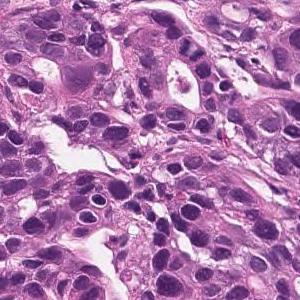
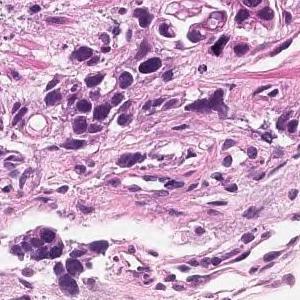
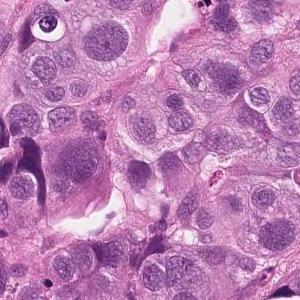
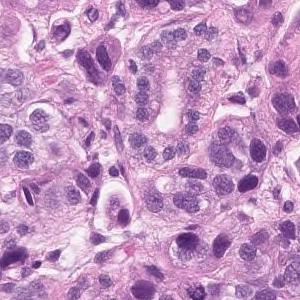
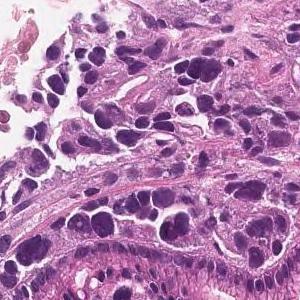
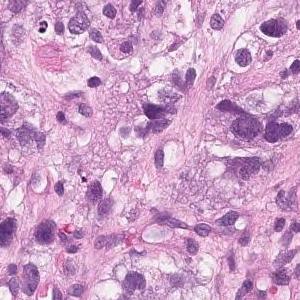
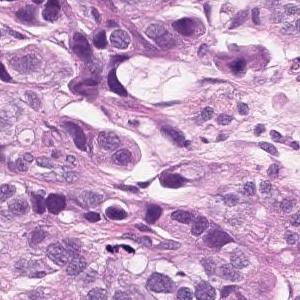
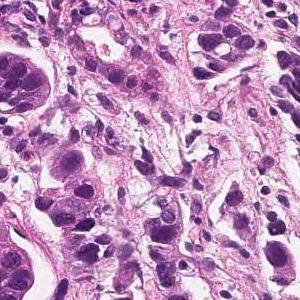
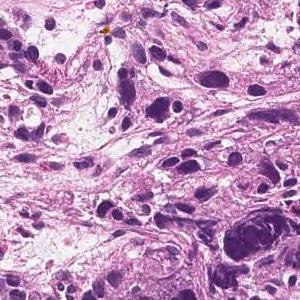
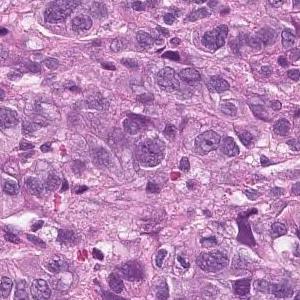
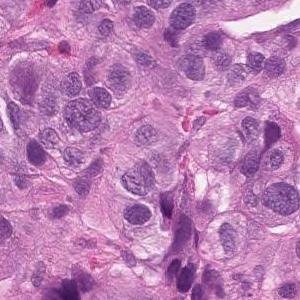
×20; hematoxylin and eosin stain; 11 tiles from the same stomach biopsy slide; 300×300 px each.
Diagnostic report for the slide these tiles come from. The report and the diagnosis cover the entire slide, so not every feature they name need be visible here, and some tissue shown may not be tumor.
Tumor tissue that infiltrates the epithelium in an alveolar manner. Poorly differentiated adenocarcinoma, solid-type
Histological subtype: Poorly differentiated adenocarcinoma, solid type (Japanese Classification of Gastric Carcinoma). The WHO 2019 equivalent is tubular adenocarcinoma, poorly differentiated.
